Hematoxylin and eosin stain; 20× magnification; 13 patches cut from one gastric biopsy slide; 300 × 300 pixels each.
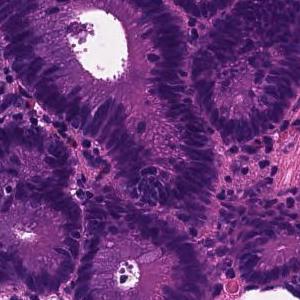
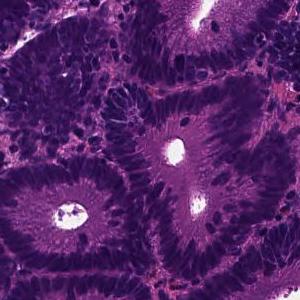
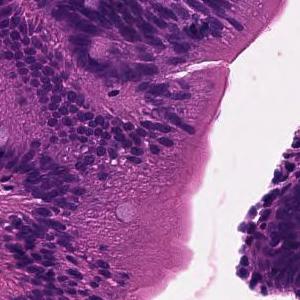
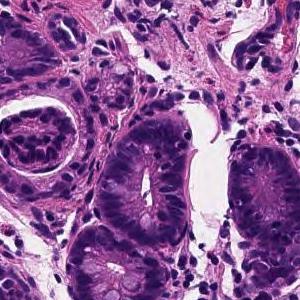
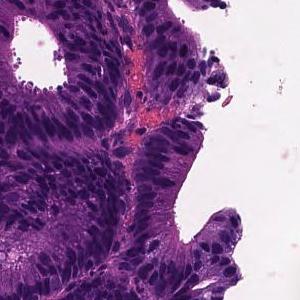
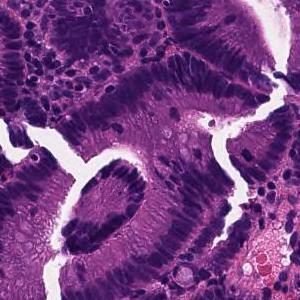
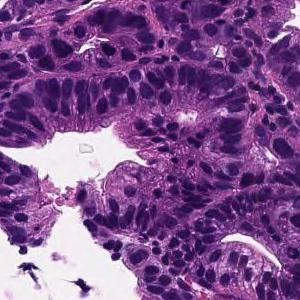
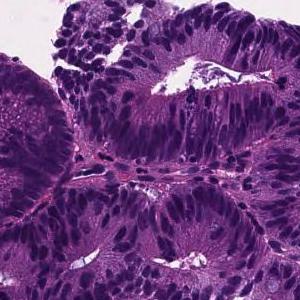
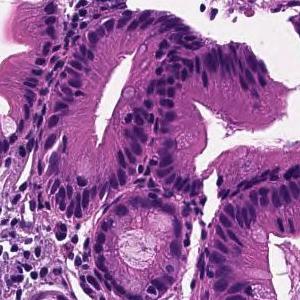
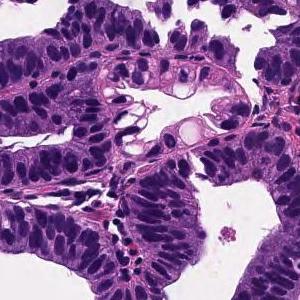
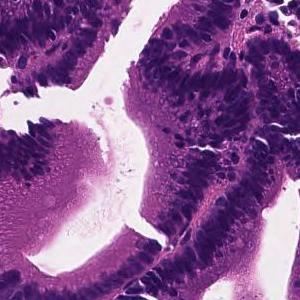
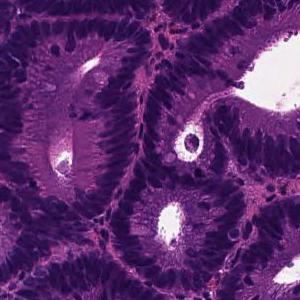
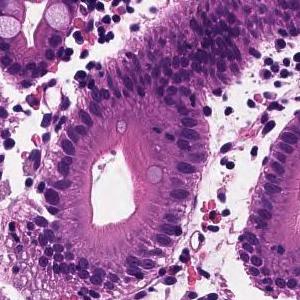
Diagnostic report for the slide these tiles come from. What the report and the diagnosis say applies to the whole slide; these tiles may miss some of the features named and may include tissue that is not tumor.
Tumor tissue in which medium to small irregular ducts infiltrate and proliferate in the submucosa can be seen in the epithelium. Well differentiated tubular adenocarcinoma
